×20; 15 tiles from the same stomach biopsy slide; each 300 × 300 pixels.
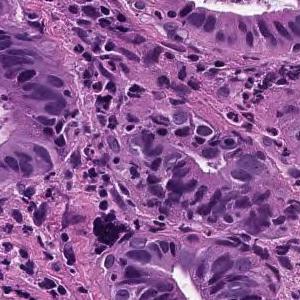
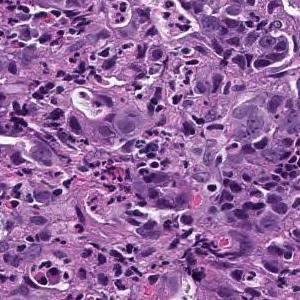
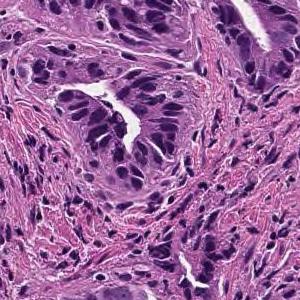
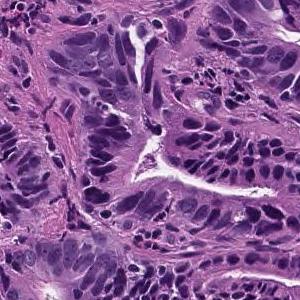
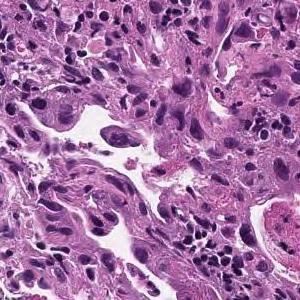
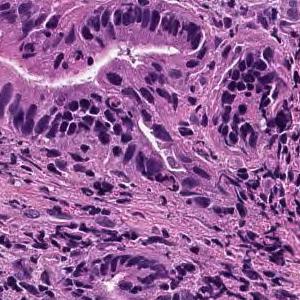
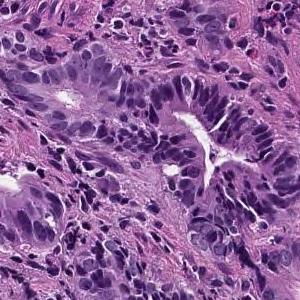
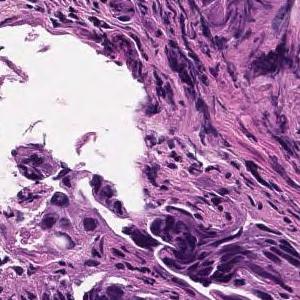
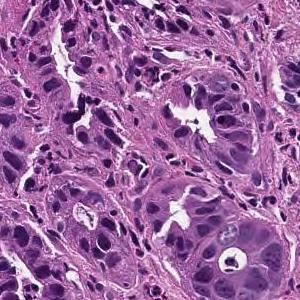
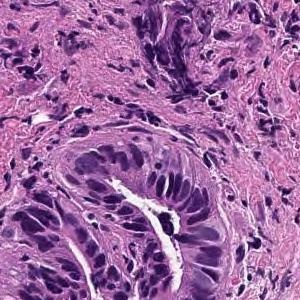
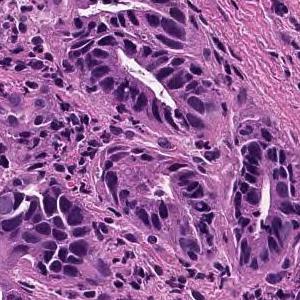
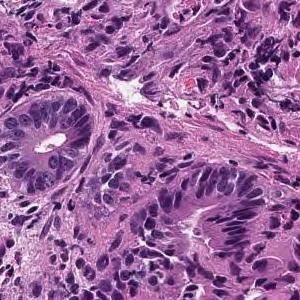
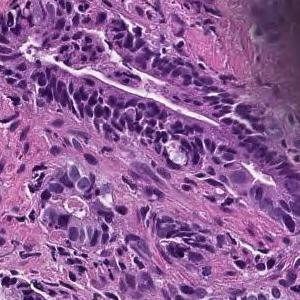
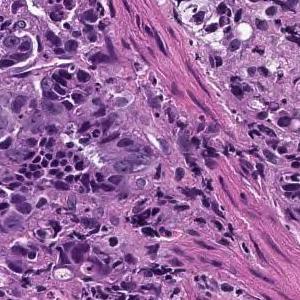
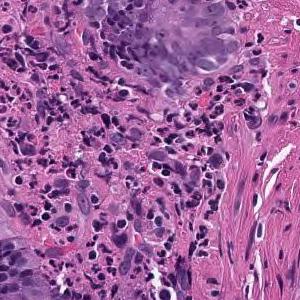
Report on the slide these tiles come from. Both the report and the diagnosis are for the whole slide: these tiles need not show every feature named, and some of the tissue shown may not be tumor.
On the superficial epithelium, tumor tissue consisting of large, irregular glandular ducts partially fused and infiltrated is observed. Well to moderately differentiated tubular adenocarcinoma (well differentiated tubular adenocarcinoma, moderately differentiated tubular adenocarcinoma)
Histologic type: Well to moderately differentiated tubular adenocarcinoma.
